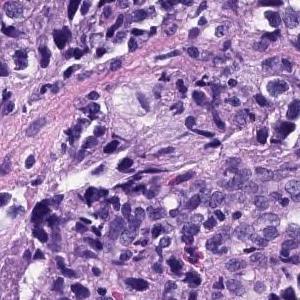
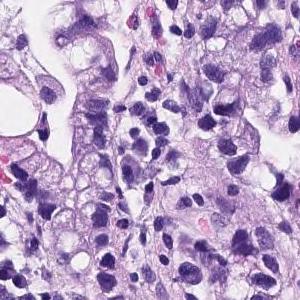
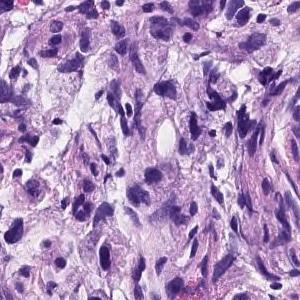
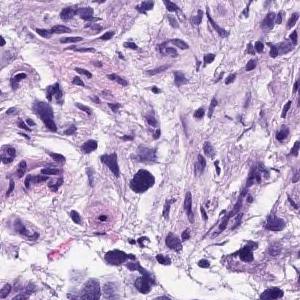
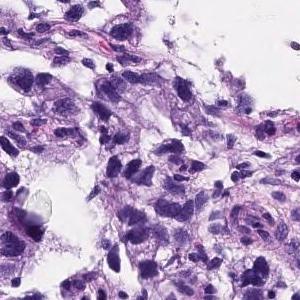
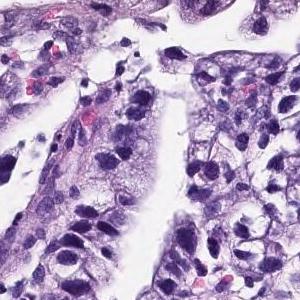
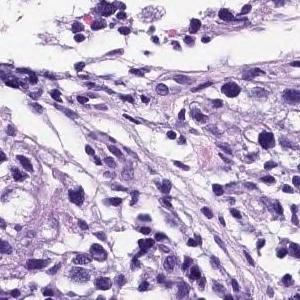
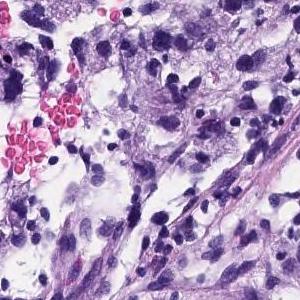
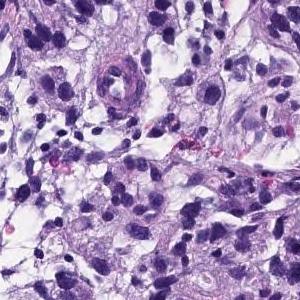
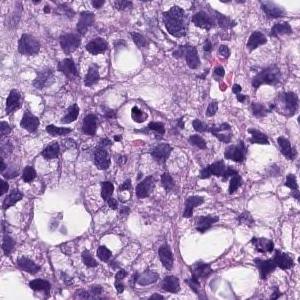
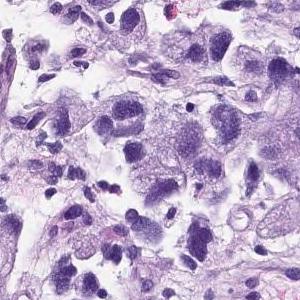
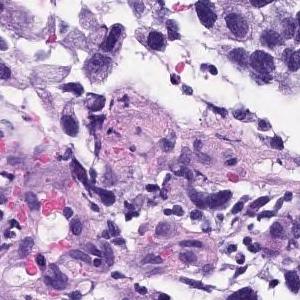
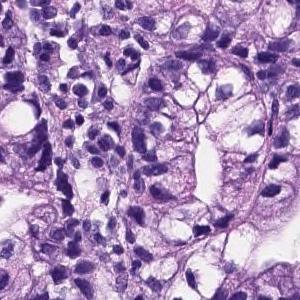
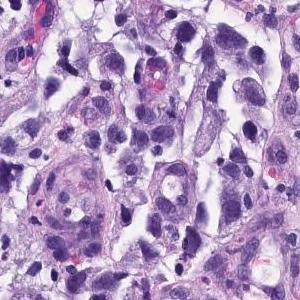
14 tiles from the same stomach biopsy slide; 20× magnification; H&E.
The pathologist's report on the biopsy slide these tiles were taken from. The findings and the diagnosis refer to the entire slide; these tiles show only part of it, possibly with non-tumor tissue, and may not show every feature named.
Medium to small, irregular glandular ducts are formed in the superficial epithelium, and in some cases, the glandular ducts are fused to show solid alveolar lesions and infiltrating tumor tissue is observed. Poorly differentiated adenocarcinoma, Moderately differentiated adenocarcinoma.
Labeled in the dataset as moderately differentiated tubular adenocarcinoma.
